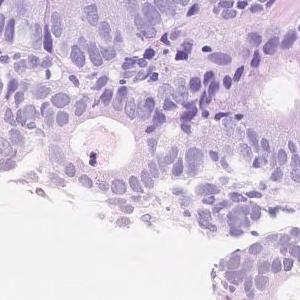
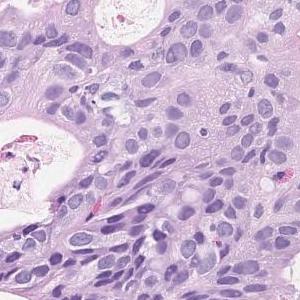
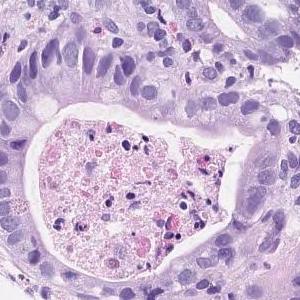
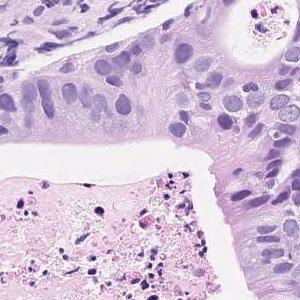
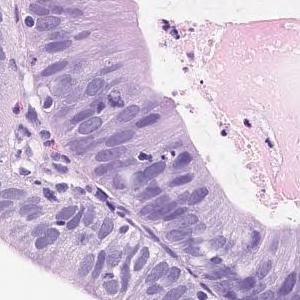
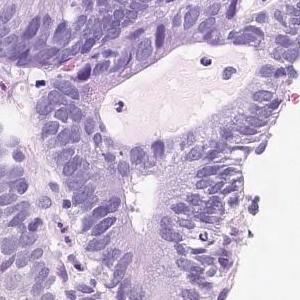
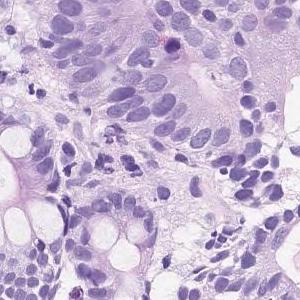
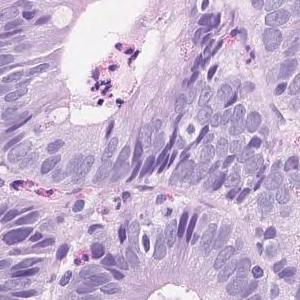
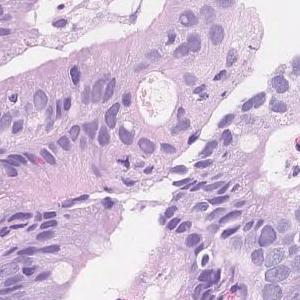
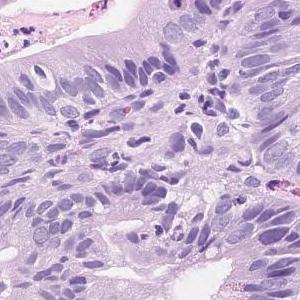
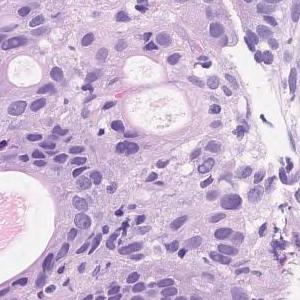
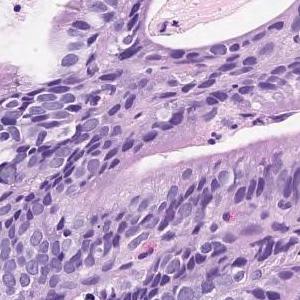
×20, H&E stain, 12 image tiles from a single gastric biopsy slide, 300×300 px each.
Pathology report for the slide these tiles were cut from. The report and the diagnosis cover the entire slide, so not every feature they name need be visible here, and some tissue shown may not be tumor.
On the superficial epithelium, tumor tissue consisting of medium to small irregular tubules partially fused and proliferated is observed. moderately differentiated tubular adenocarcinoma
